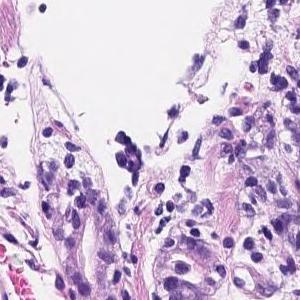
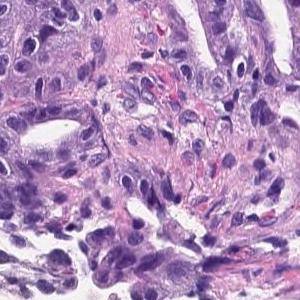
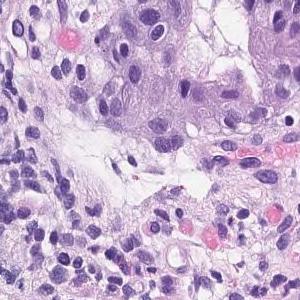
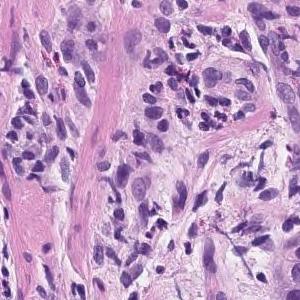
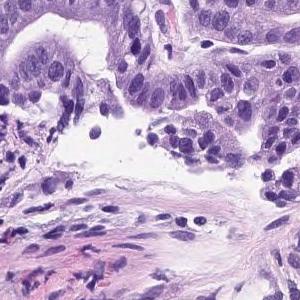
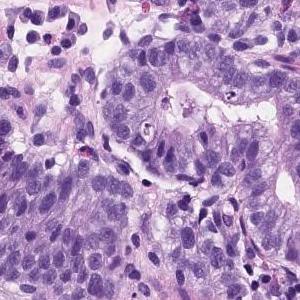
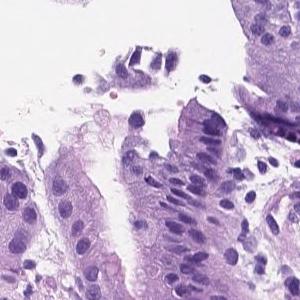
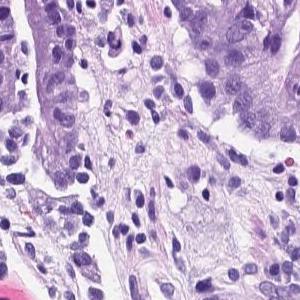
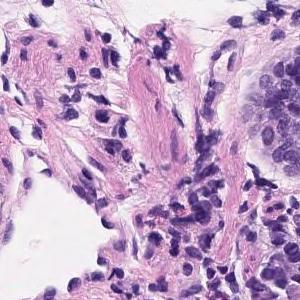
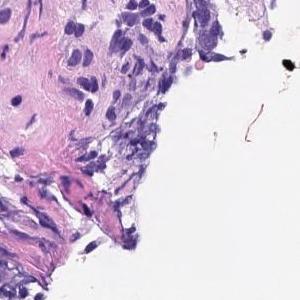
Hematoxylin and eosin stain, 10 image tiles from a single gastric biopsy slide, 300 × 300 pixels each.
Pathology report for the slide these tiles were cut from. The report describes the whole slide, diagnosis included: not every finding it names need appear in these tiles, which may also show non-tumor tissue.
Tumor tissue consisting of medium-sized and irregular ducts is observed infiltrating in the superficial epithelium. Tumor cells are highly columnar, with nuclei aligned basolaterally and polarized. Well differentiated tubular adenocarcinoma.
